5 patches cut from one gastric biopsy slide, 20× magnification, H&E.
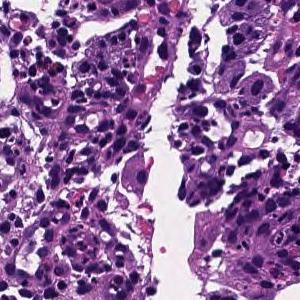
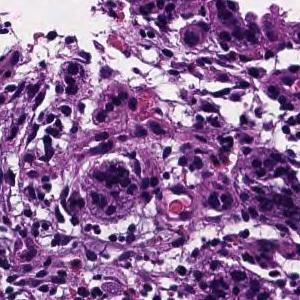
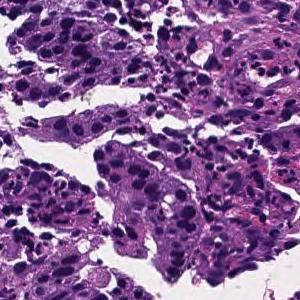
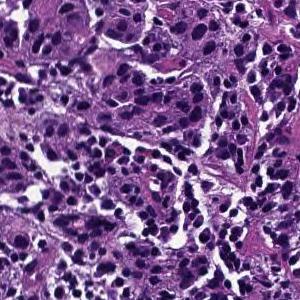
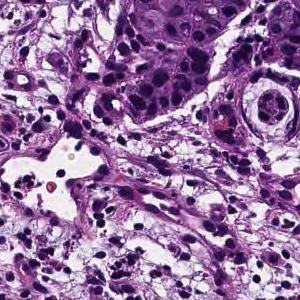
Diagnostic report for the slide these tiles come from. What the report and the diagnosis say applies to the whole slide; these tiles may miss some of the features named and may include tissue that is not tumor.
Tumor tissue consisting of cord-like or small, irregular glandular ducts fused and infiltrated is observed in the superficial epithelium. Poorly differentiated adenocarcinoma, non-solid type
The term "non-solid type" comes from the Japanese Classification of Gastric Carcinoma.
